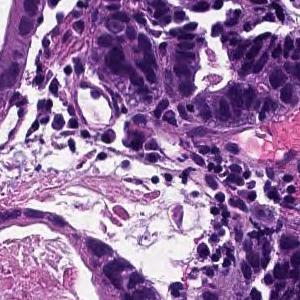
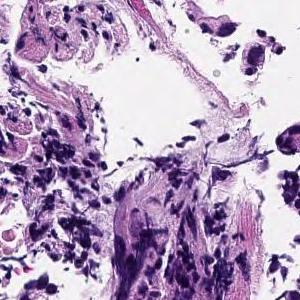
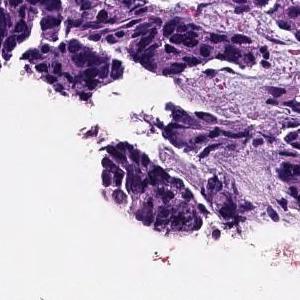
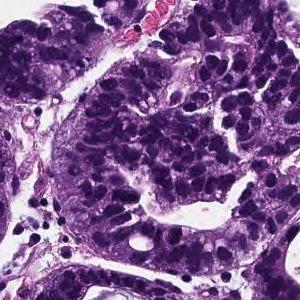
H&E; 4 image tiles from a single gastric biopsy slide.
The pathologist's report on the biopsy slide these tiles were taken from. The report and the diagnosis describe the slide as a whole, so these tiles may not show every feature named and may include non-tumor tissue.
From the superficial epithelium to the muscularis mucosae, tumor tissue consisting of medium-sized and irregular glandular ducts infiltrating is observed. Well differentiated tubular adenocarcinoma
